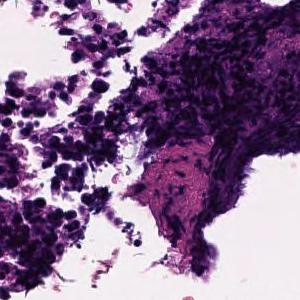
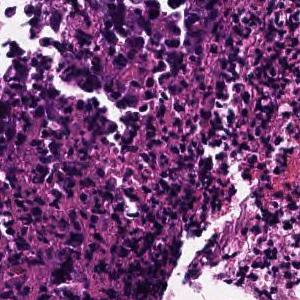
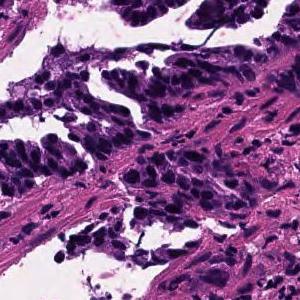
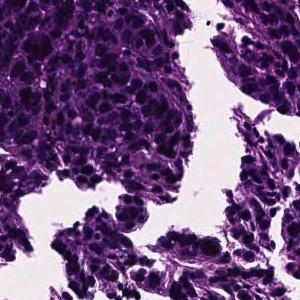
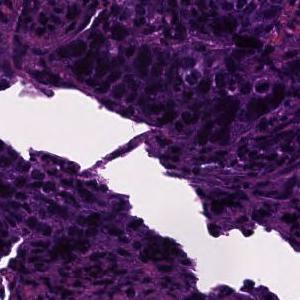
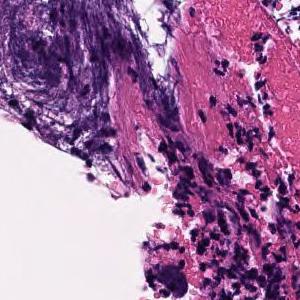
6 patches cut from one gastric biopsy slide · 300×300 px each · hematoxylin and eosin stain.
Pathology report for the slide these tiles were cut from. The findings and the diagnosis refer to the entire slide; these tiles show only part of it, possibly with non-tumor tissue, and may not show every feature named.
In the superficial epithelium, tumor tissue that invades by forming medium-sized to small, irregular ducts is observed. moderately differentiated tubular adenocarcinoma.
